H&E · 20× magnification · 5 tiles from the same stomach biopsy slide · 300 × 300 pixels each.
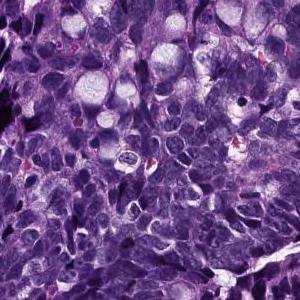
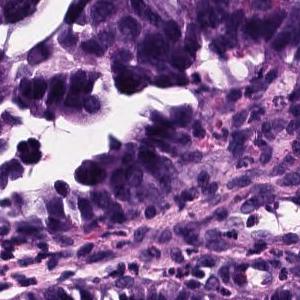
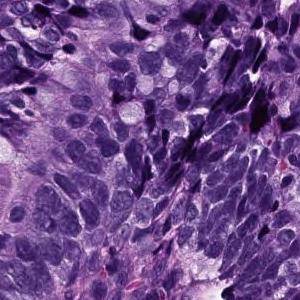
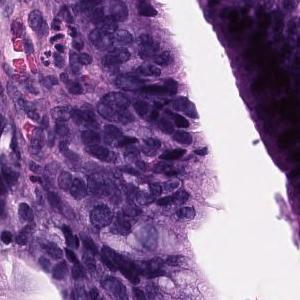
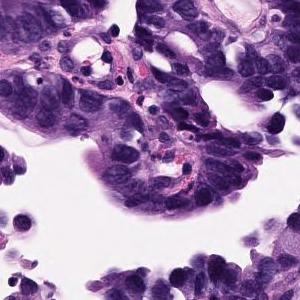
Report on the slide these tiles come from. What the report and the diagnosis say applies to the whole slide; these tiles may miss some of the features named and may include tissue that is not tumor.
Atypical epithelium proliferating showing villus construction and irregular gland duct construction is observed. Moderately differentiated tubular adenocarcinoma.
